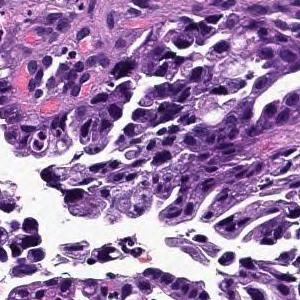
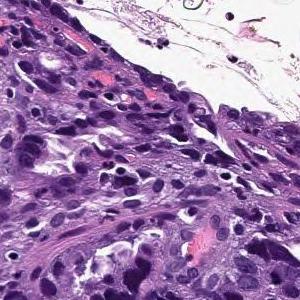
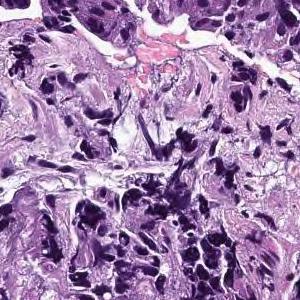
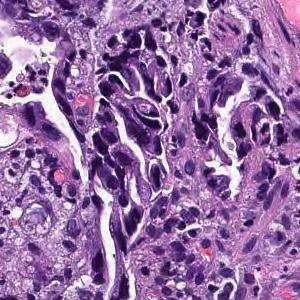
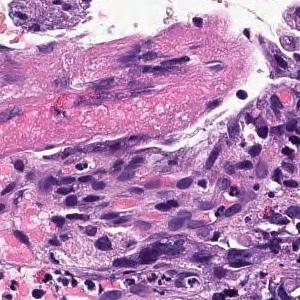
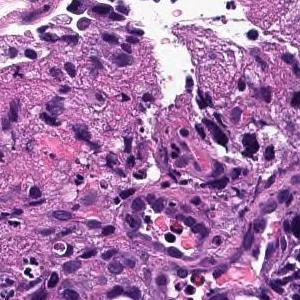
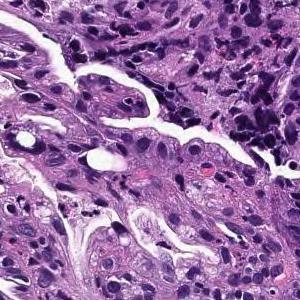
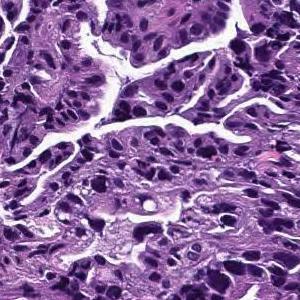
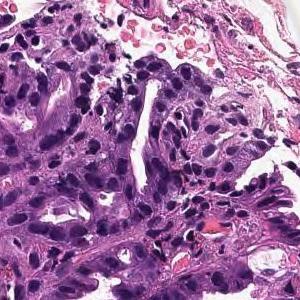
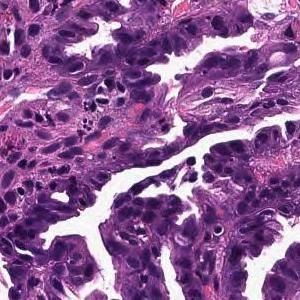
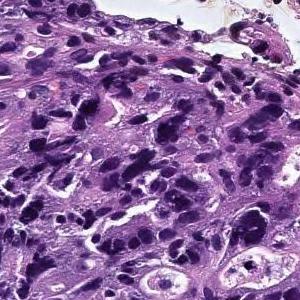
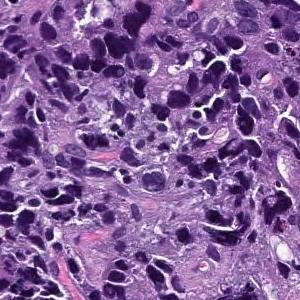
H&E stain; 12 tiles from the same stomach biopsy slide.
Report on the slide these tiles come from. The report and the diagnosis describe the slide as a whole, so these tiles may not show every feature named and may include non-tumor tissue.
The superficial epithelium shows small cord-like infiltrating tumor tissue. Tumor cells are invading single cell manner without mucin production. Poorly differentiated adenocarcinoma, non-solid type
"Non-solid type" is a category of the Japanese Classification of Gastric Carcinoma.
